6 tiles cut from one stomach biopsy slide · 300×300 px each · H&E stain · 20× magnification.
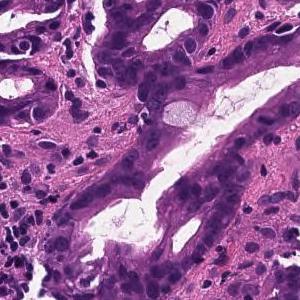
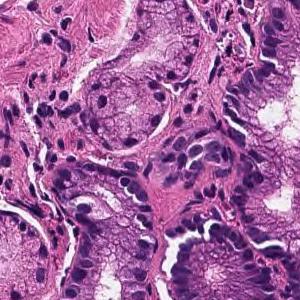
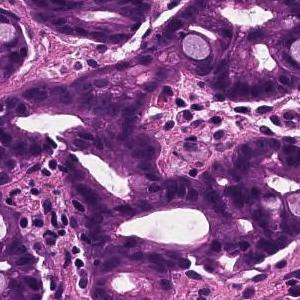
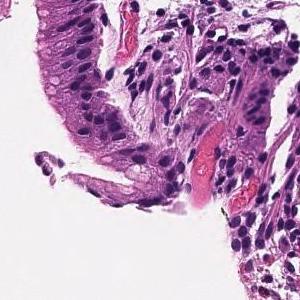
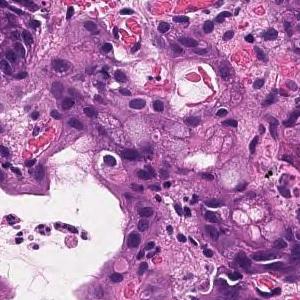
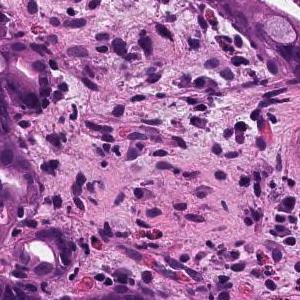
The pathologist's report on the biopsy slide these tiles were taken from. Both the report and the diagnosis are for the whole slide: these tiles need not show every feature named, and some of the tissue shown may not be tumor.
From the superficial epithelium to the muscularis mucosae, tumor tissue consisting of medium-sized and irregular glandular ducts infiltrating is observed. Well differentiated tubular adenocarcinoma
